12 patches cut from one gastric biopsy slide · each 300 × 300 pixels · hematoxylin and eosin stain · scanned at ×20.
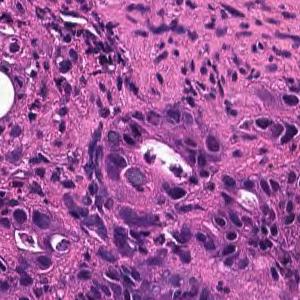
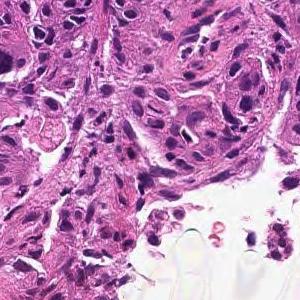
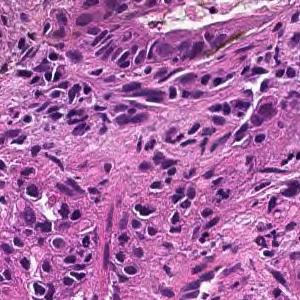
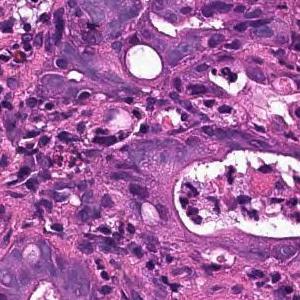
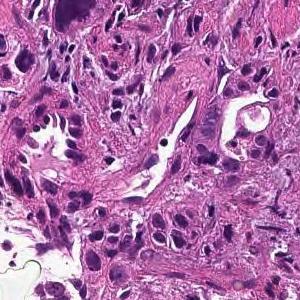
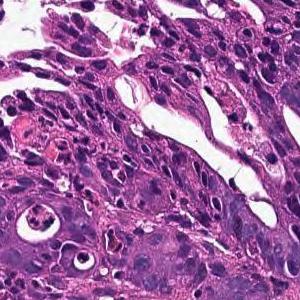
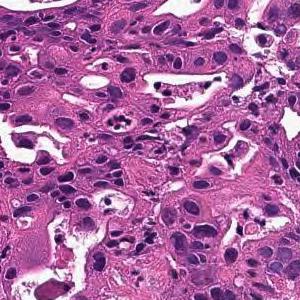
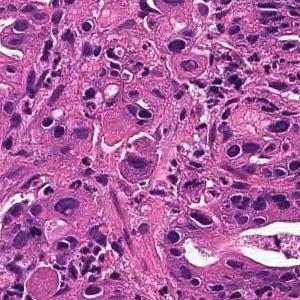
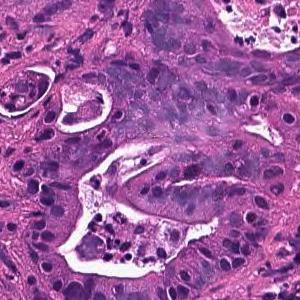
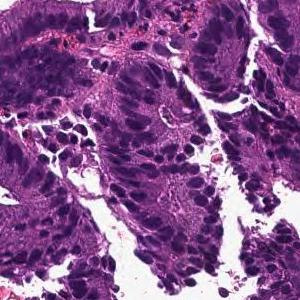
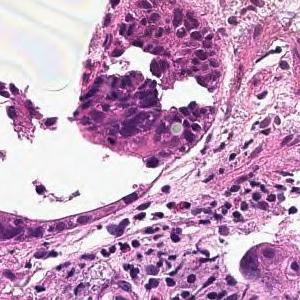
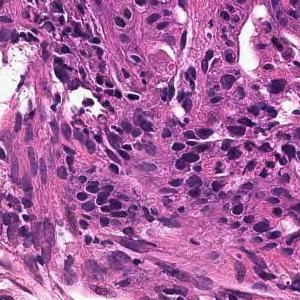
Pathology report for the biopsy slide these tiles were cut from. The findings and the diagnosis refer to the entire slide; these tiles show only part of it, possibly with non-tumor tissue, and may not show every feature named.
In the superficial epithelium, tumor tissue that invades by forming medium-sized to small, irregular ducts is observed. moderately differentiated tubular adenocarcinoma.
